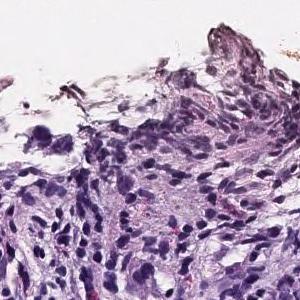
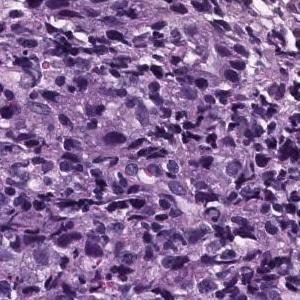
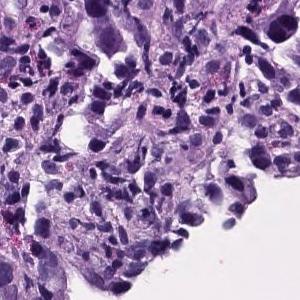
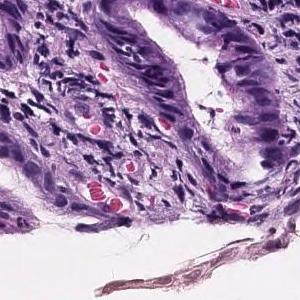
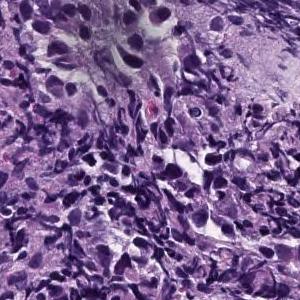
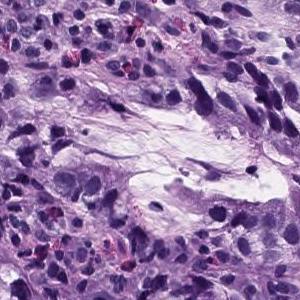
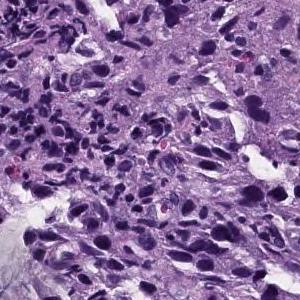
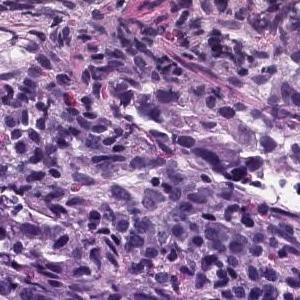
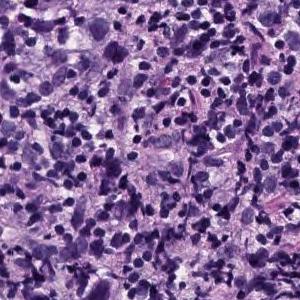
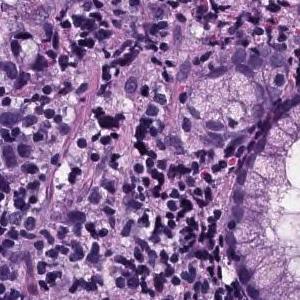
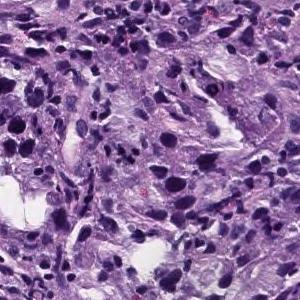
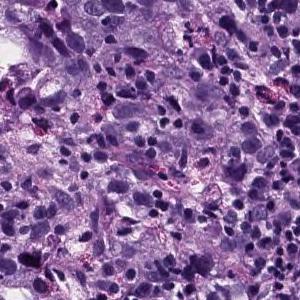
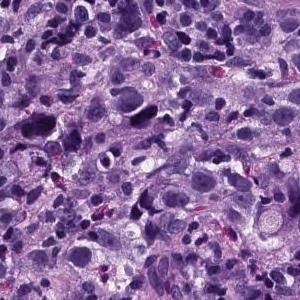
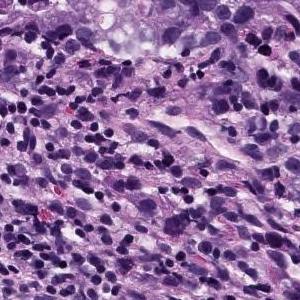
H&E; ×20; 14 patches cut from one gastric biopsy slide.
The pathologist's report on the biopsy slide these tiles were taken from. What the report and the diagnosis say applies to the whole slide; these tiles may miss some of the features named and may include tissue that is not tumor.
Atypical epithelial cells infiltrating and proliferating while forming solid or cord-like fused glandular cavities of different sizes is observed. moderately differentiated tubular adenocarcinoma, poorly differentiated adenocarcinoma.
Classified as moderately to poorly differentiated adenocarcinoma.
